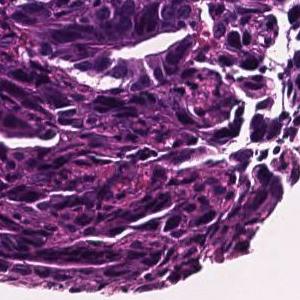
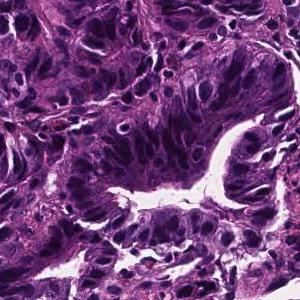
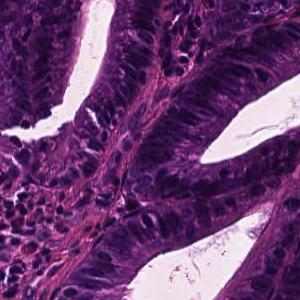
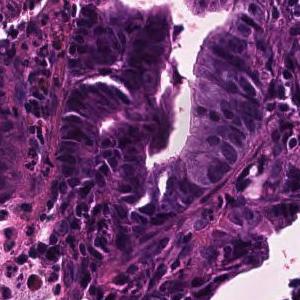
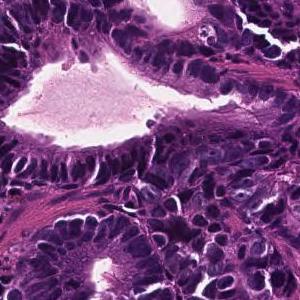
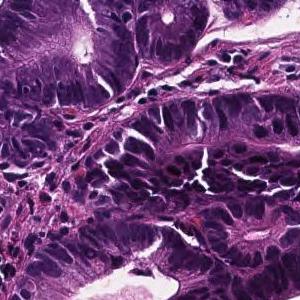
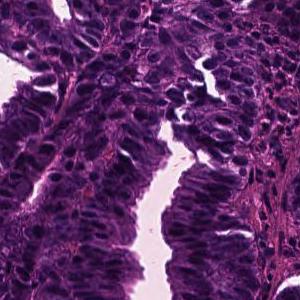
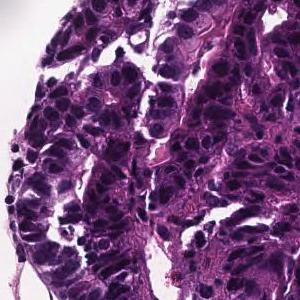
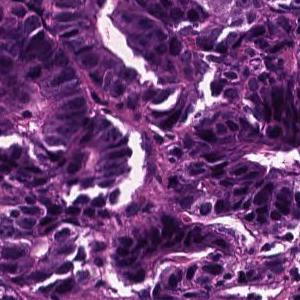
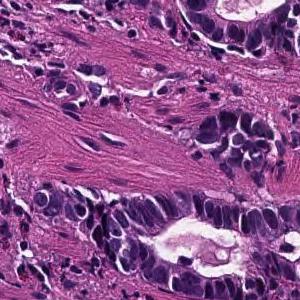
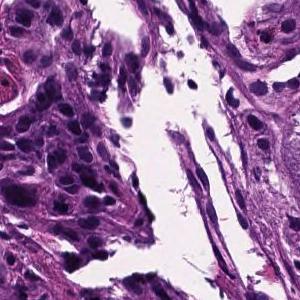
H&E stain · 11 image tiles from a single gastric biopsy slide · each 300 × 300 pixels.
Pathology report for the slide these tiles were cut from. The report describes the whole slide, diagnosis included: not every finding it names need appear in these tiles, which may also show non-tumor tissue.
In the superficial epithelium, tumor tissue that invades by forming medium-sized to small, irregular ducts is observed. moderately differentiated tubular adenocarcinoma.
